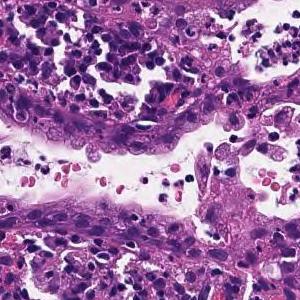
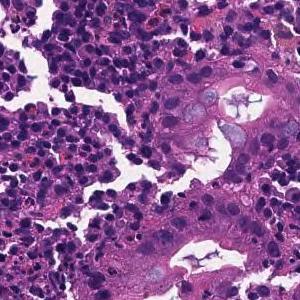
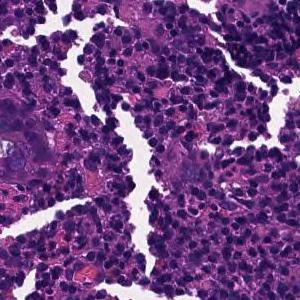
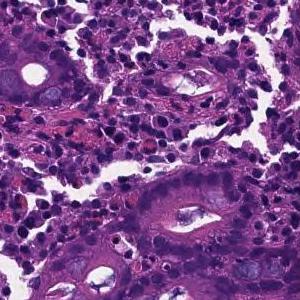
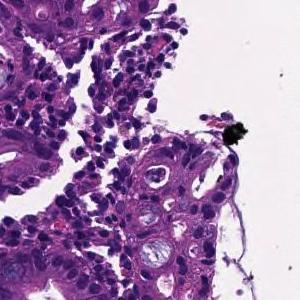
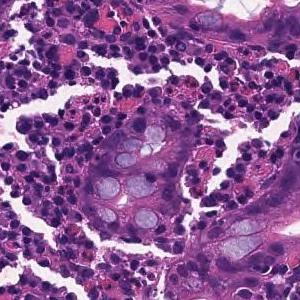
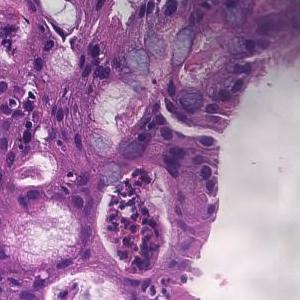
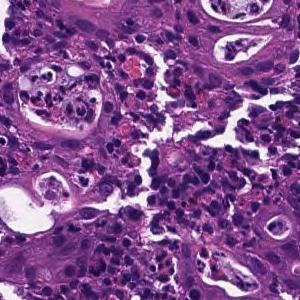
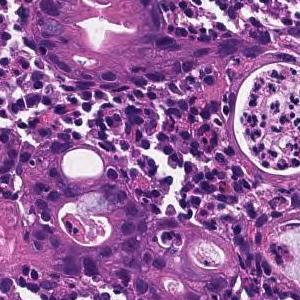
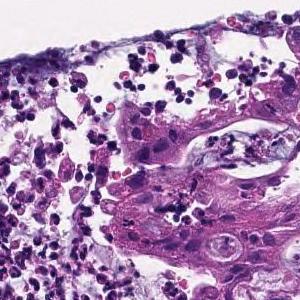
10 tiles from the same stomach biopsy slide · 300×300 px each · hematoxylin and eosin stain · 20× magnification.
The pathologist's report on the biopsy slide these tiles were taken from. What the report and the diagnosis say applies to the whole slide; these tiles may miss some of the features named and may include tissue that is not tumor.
In the superficial epithelium, tumor tissue that invades by forming medium-sized to small, irregular ducts is observed. moderately differentiated tubular adenocarcinoma.
